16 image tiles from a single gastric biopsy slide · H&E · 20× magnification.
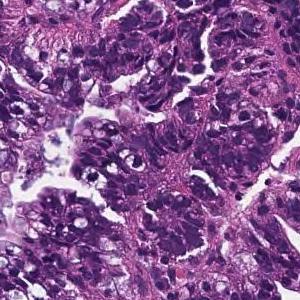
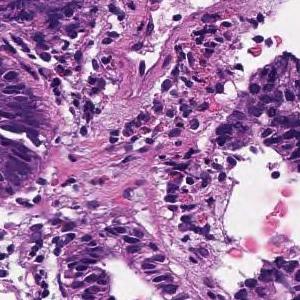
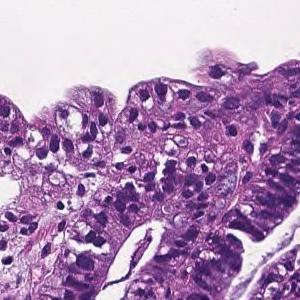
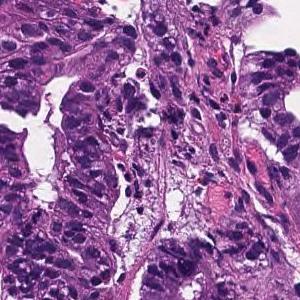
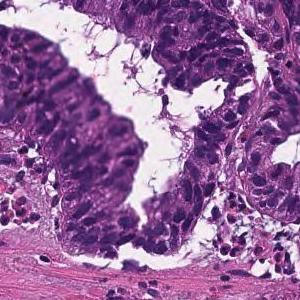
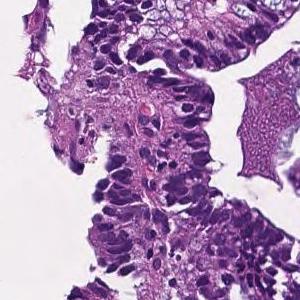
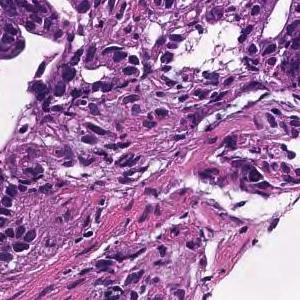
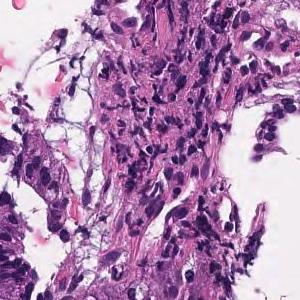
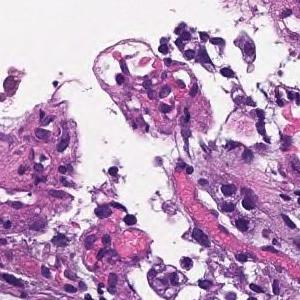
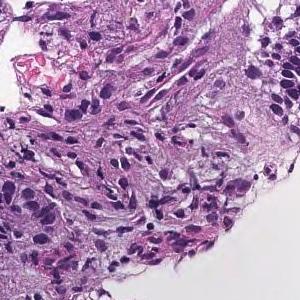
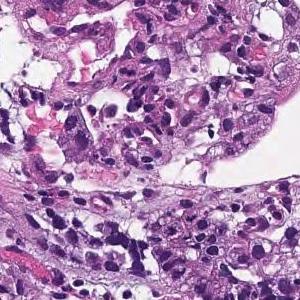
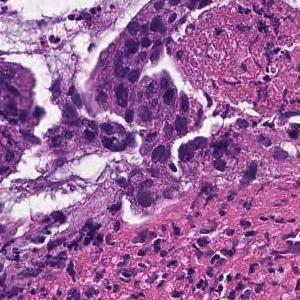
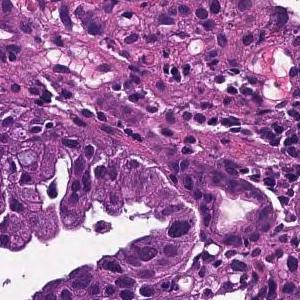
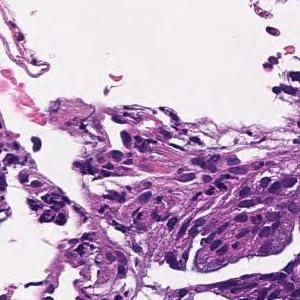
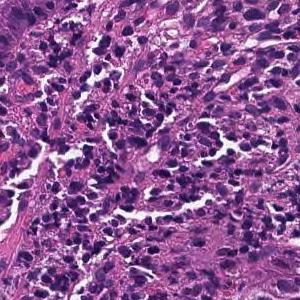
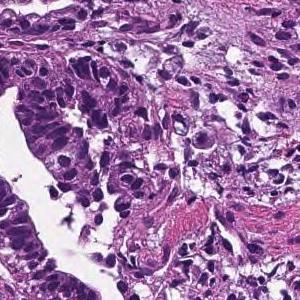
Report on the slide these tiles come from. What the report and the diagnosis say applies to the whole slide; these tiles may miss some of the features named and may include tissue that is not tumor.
From the superficial epithelium to the muscularis mucosae, tumor tissue consisting of medium-sized and irregular glandular ducts infiltrating is observed. Well differentiated tubular adenocarcinoma
